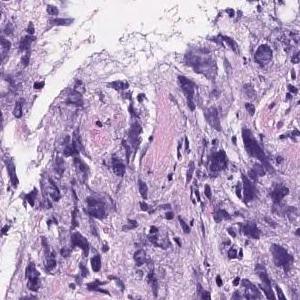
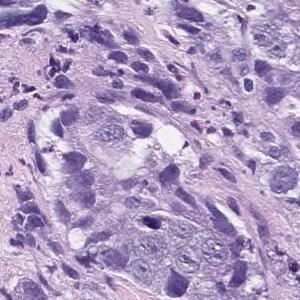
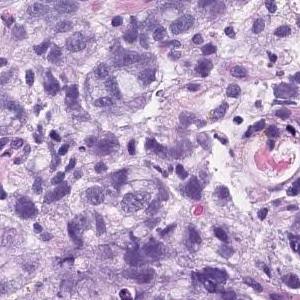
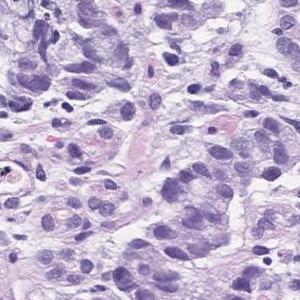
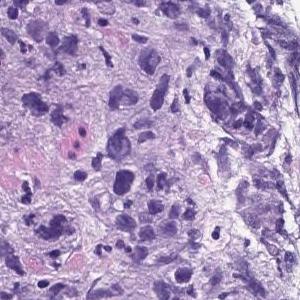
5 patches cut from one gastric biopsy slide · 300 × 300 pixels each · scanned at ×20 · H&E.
Diagnostic report for the slide these tiles come from. Both the report and the diagnosis are for the whole slide: these tiles need not show every feature named, and some of the tissue shown may not be tumor.
Atypical l cells with atypical nuclei forming solid vesicles or small irregular atypical ducts that proliferate in a complex manner. poorly differentiated adenocarcinoma, solid type, moderately differentiated tubular adenocarcinoma
The solid type named here is a Japanese Classification of Gastric Carcinoma category; WHO 2019 calls it tubular adenocarcinoma, poorly differentiated.
